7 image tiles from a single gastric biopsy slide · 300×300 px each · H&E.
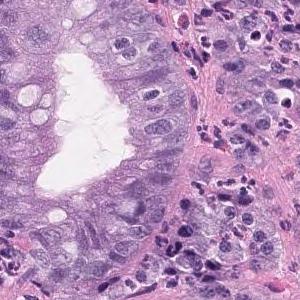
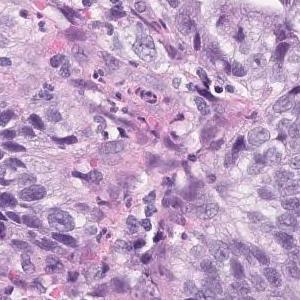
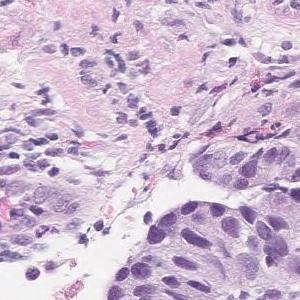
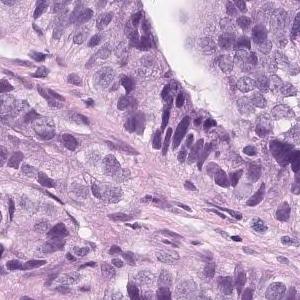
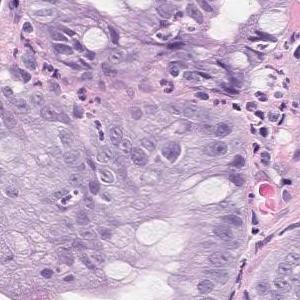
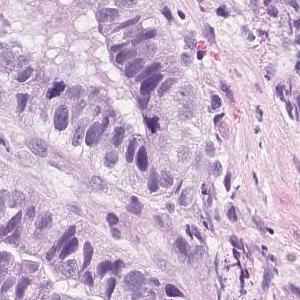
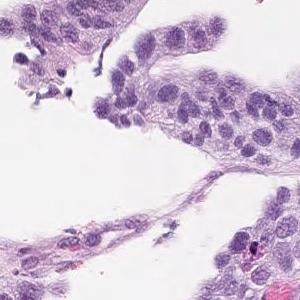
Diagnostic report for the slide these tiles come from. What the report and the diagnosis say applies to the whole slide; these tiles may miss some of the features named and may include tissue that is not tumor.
Tumor tissue in which highly columnar atypical epithelial cells with nuclear enlargement and increased nuclear chromatin show papillary to papillary ductal structure and proliferate is observed. Papillary adenocarcinoma.
